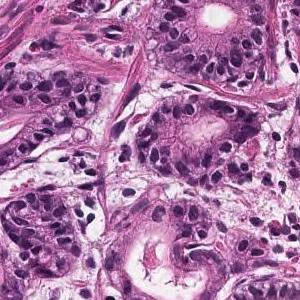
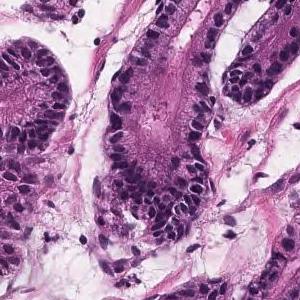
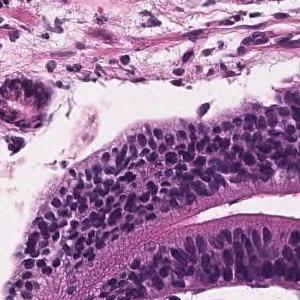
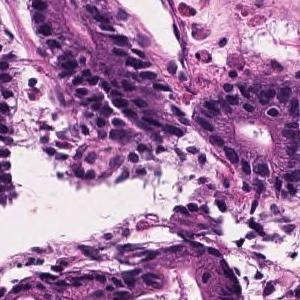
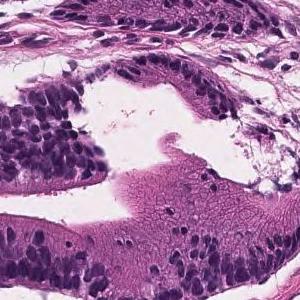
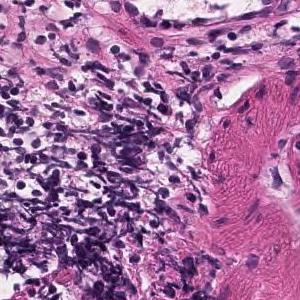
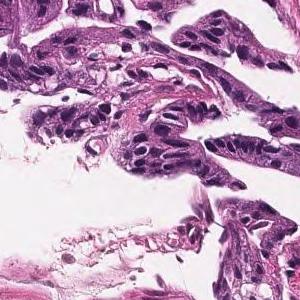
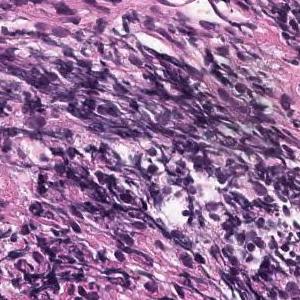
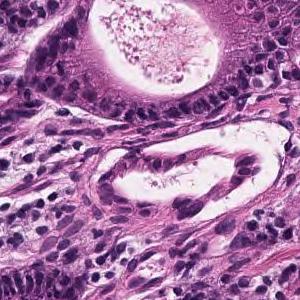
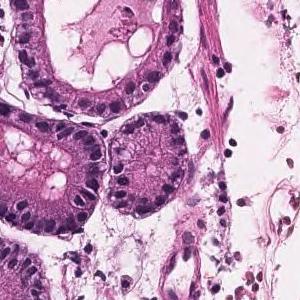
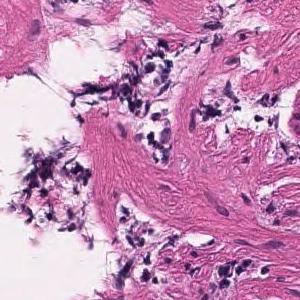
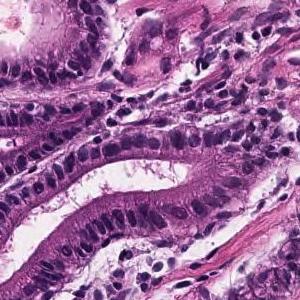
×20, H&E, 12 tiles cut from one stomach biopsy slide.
Pathology report for the slide these tiles were cut from. The report and the diagnosis cover the entire slide, so not every feature they name need be visible here, and some tissue shown may not be tumor.
Tumor tissue with atypical epithelium showing irregular ductal or sieving ductal structure and proliferating is observed. Well to moderately differentiated tubular adenocarcinoma (well differentiated tubular adenocarcinoma-moderately differentiated tubular adenocarcinoma)
Subtype: Well to moderately differentiated tubular adenocarcinoma.
